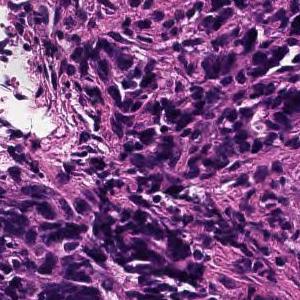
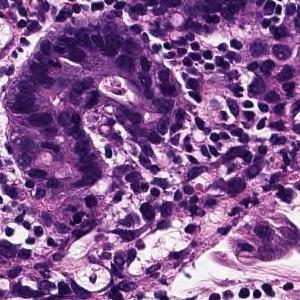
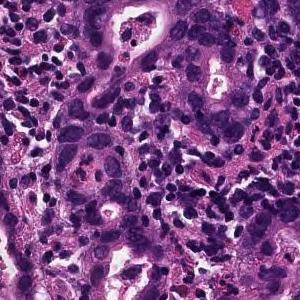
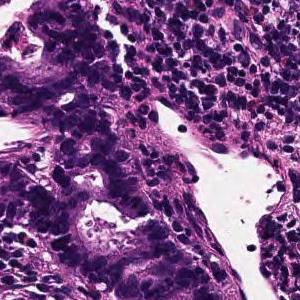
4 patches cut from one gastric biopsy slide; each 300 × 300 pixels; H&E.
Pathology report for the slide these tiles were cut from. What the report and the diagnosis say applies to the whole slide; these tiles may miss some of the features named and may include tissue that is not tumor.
On the superficial epithelium, tumor tissue is found in which medium-sized irregular gland ducts fuse with each other and infiltrate. moderately differentiated tubular adenocarcinoma or Poorly differentiated adenocarcinoma, non-solid type
Subtype: Moderately to poorly differentiated adenocarcinoma.
The term "non-solid type" comes from the Japanese Classification of Gastric Carcinoma.
